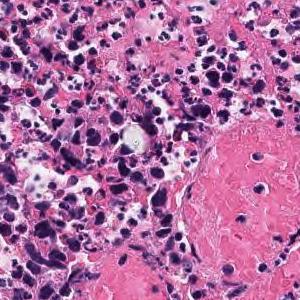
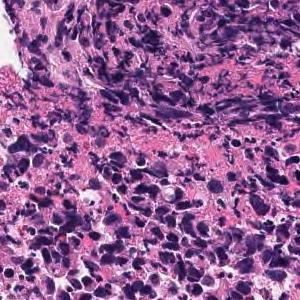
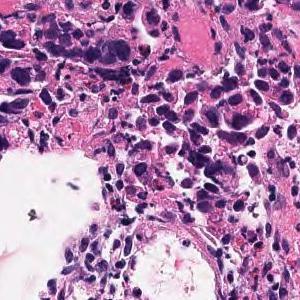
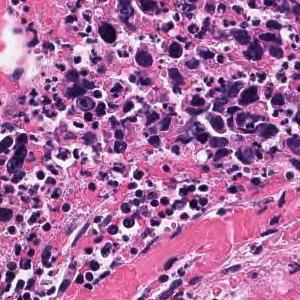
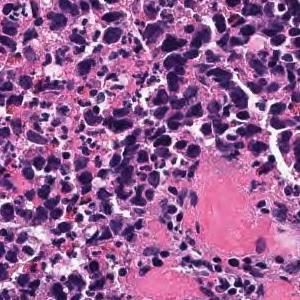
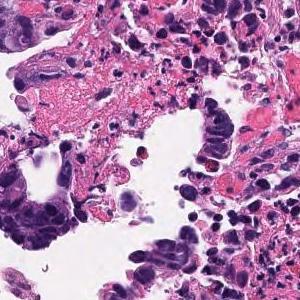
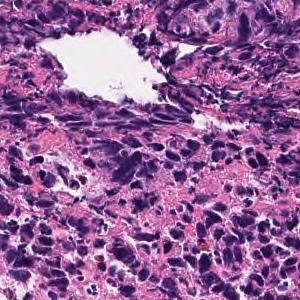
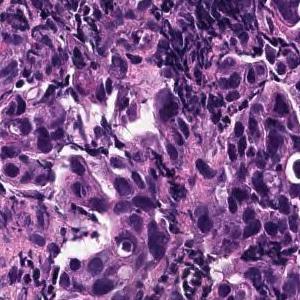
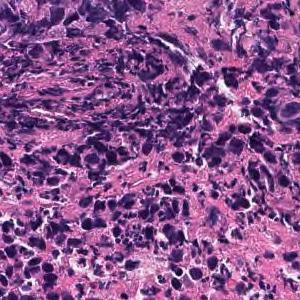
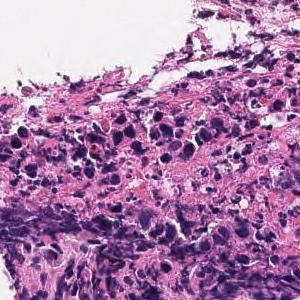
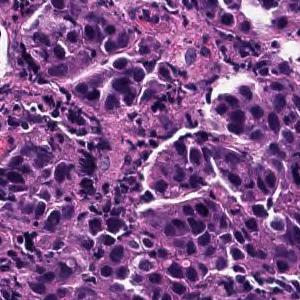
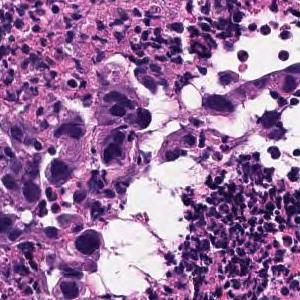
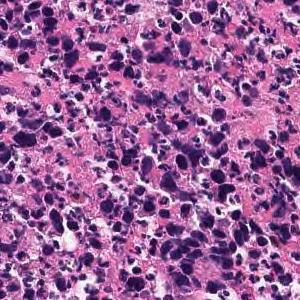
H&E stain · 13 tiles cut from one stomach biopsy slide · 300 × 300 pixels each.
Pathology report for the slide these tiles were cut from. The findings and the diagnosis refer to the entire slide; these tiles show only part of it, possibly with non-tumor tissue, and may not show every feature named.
In the superficial epithelium, tumor tissue that invades by forming medium-sized to small, irregular ducts is observed. Tumor cells are columnar or cuboidal in shape. Moderately differentiated adenocarcinoma.
Classified as moderately differentiated tubular adenocarcinoma.
